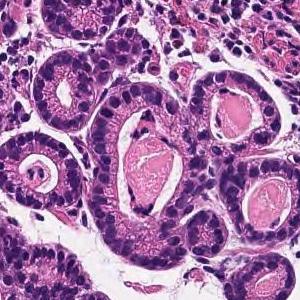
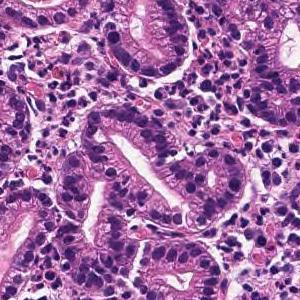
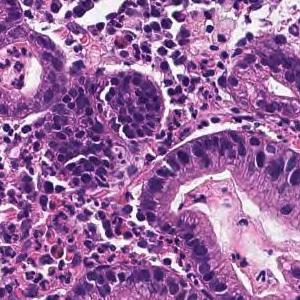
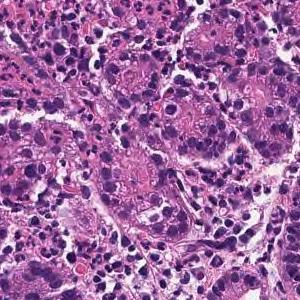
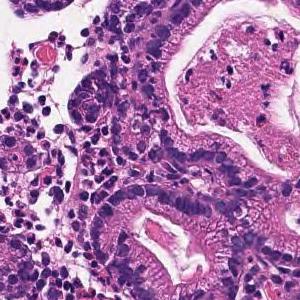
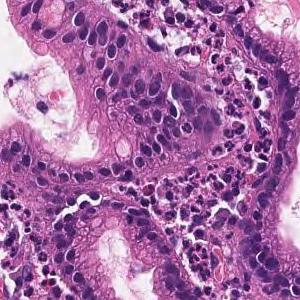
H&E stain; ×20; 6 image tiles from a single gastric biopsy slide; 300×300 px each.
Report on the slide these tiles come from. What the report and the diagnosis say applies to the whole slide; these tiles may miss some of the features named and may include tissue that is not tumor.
Tumor tissue infiltrated and proliferated with small to medium-sized irregular tubules is observed in the superficial epithelium. Well differentiated tubular adenocarcinoma
